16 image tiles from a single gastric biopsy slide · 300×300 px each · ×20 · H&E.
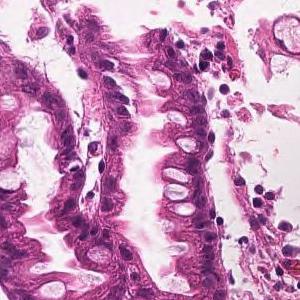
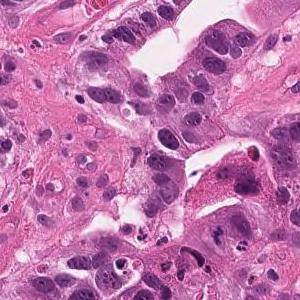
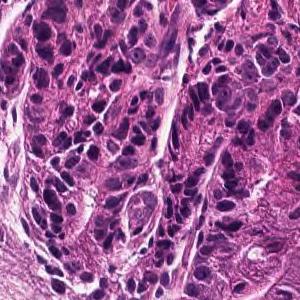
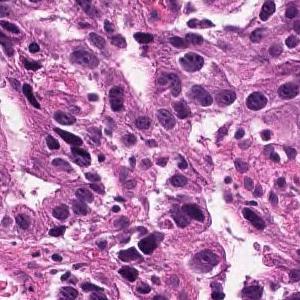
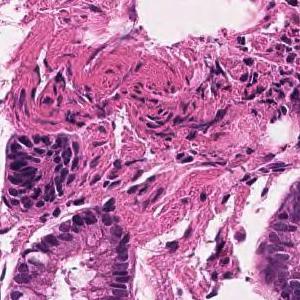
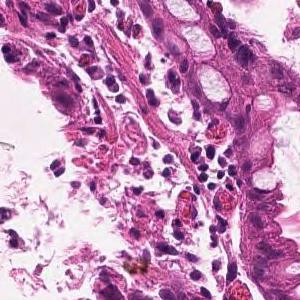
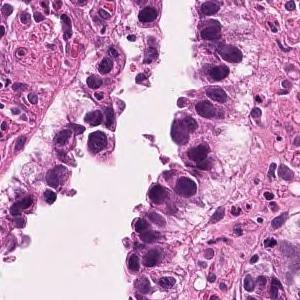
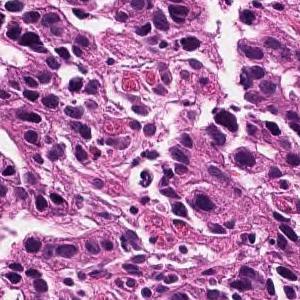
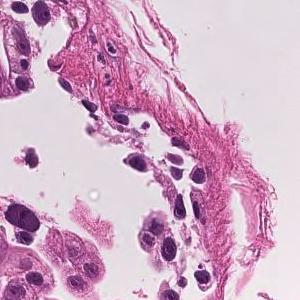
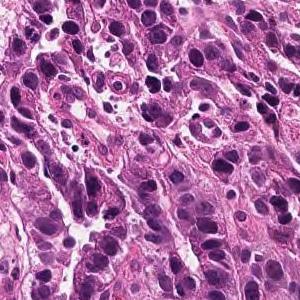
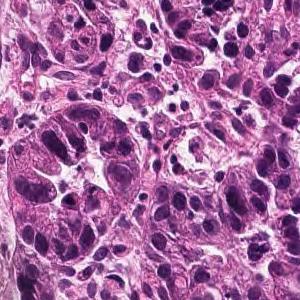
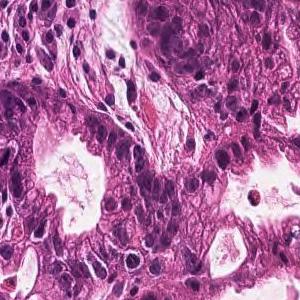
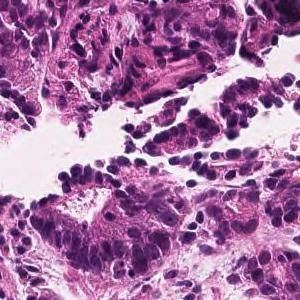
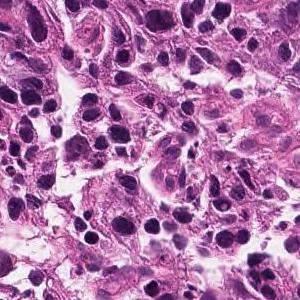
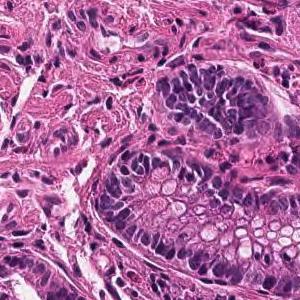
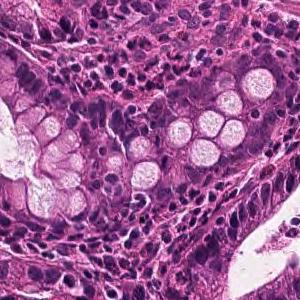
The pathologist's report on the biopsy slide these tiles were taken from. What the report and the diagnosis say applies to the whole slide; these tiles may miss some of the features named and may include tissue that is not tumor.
Tumor tissue consisting of medium-sized, cord-like or irregular glandular infiltration is observed in the superficial epithelium. Poorly differentiated adenocarcinoma, non-solid type or moderately differentiated tubular adenocarcinoma
Classified as moderately to poorly differentiated adenocarcinoma.
"Non-solid type" is a category of the Japanese Classification of Gastric Carcinoma.
